Scanned at ×20, 5 tiles from the same stomach biopsy slide, 300×300 px each.
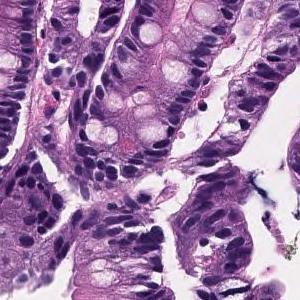
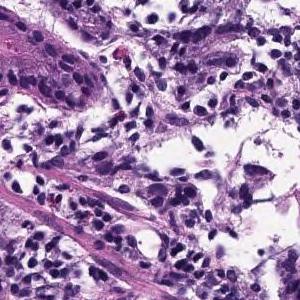
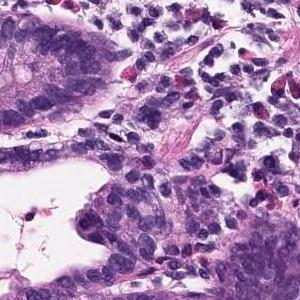
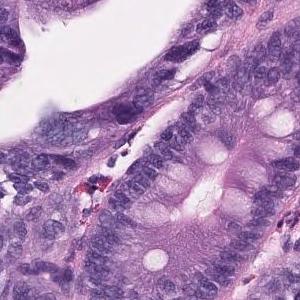
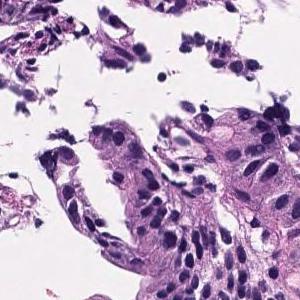
Report on the slide these tiles come from. The report and the diagnosis describe the slide as a whole, so these tiles may not show every feature named and may include non-tumor tissue.
Tumor cells are large, highly columnar, large club-shaped nuclei, and are associated with chromatin aggregation. Papillary adenocarcinoma.
